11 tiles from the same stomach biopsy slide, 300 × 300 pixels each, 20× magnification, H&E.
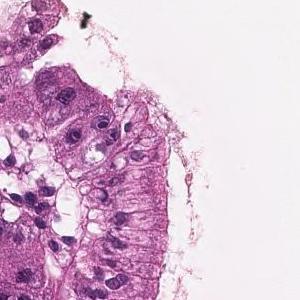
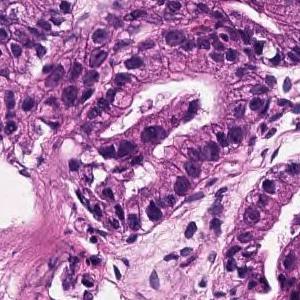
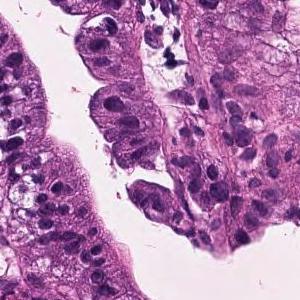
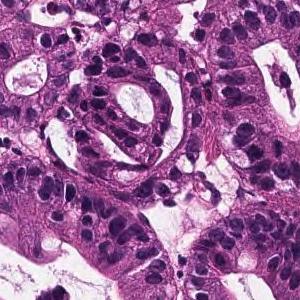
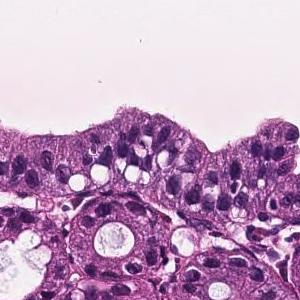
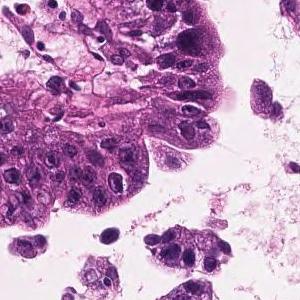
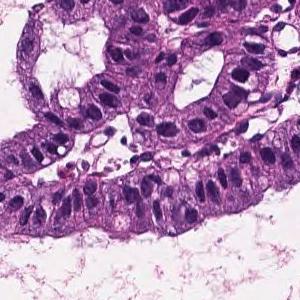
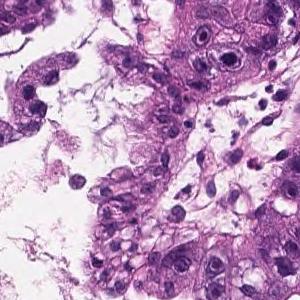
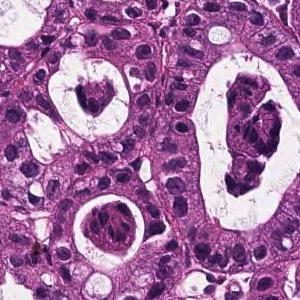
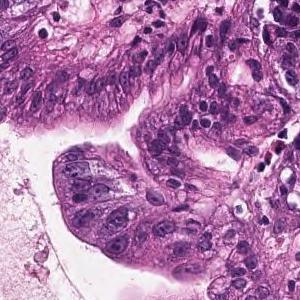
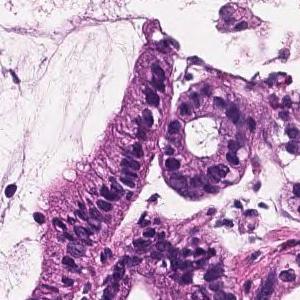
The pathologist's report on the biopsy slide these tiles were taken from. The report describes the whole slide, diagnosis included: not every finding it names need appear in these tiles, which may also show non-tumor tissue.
On the superficial epithelium, tumor tissue that infiltrates by forming medium-sized papillary or small irregular ducts is observed. Papillary adenocarcinoma
